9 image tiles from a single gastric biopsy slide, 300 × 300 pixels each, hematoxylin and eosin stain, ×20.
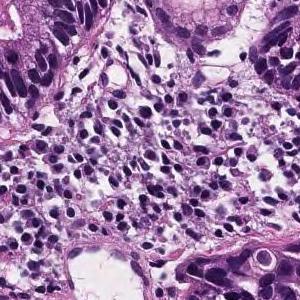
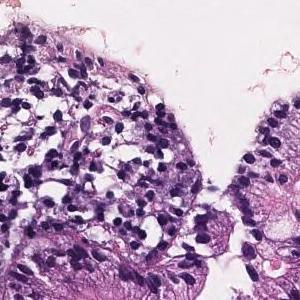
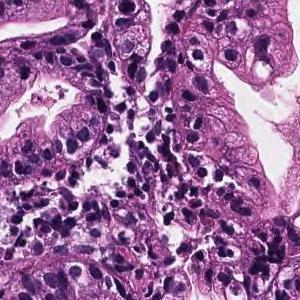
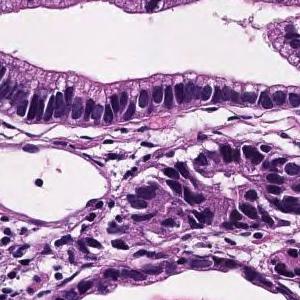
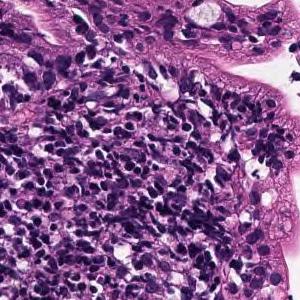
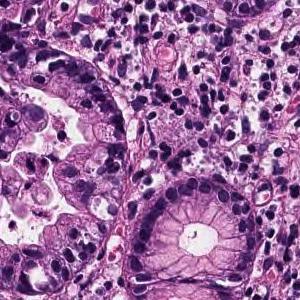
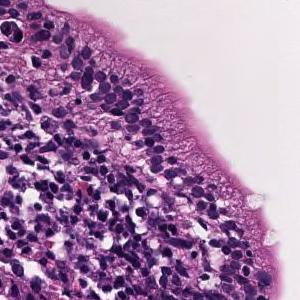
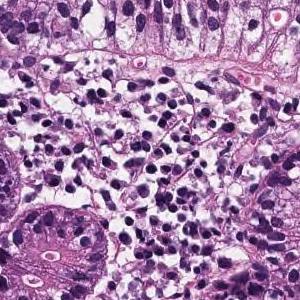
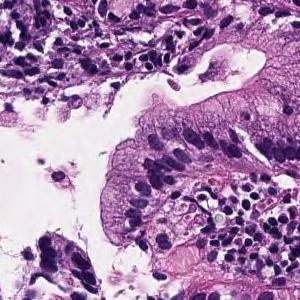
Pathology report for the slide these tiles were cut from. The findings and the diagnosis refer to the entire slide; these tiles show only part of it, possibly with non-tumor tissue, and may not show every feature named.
From the superficial epithelium to the muscularis mucosae, tumor tissue consisting of medium-sized and irregular glandular ducts infiltrating is observed. Well differentiated tubular adenocarcinoma
